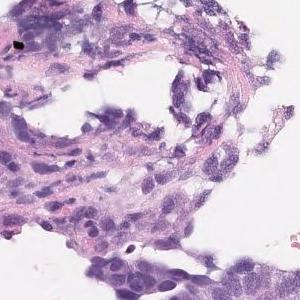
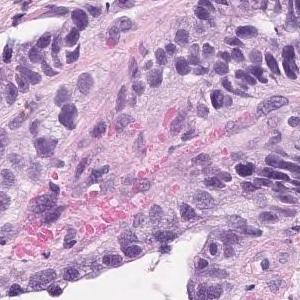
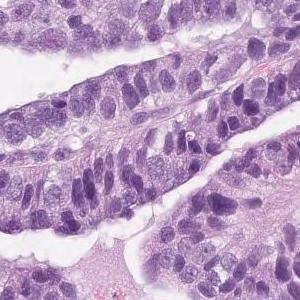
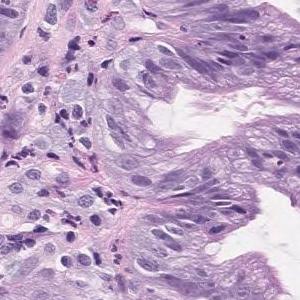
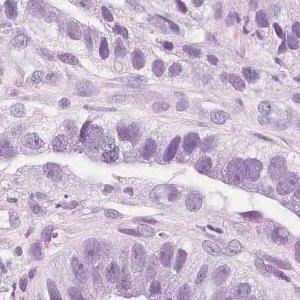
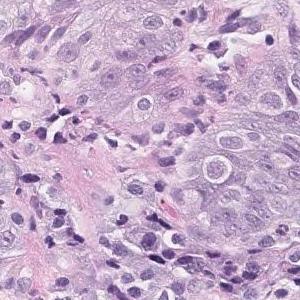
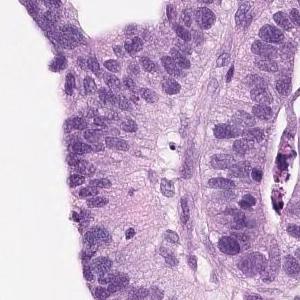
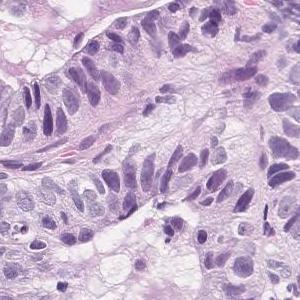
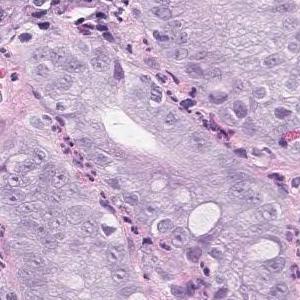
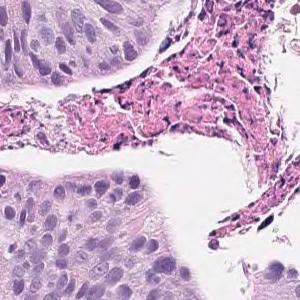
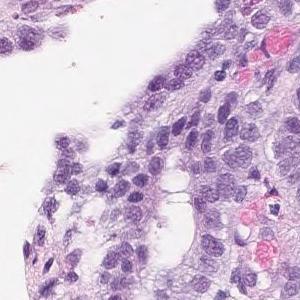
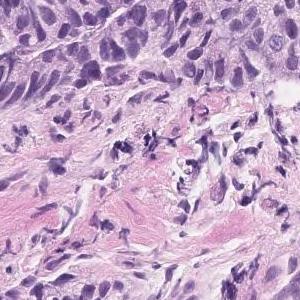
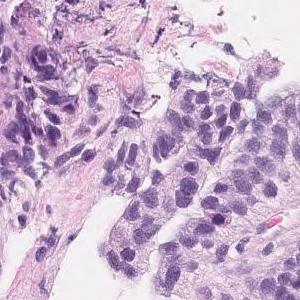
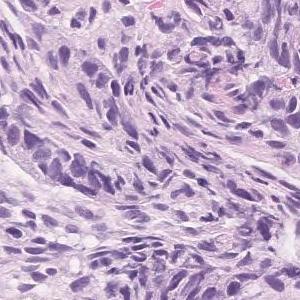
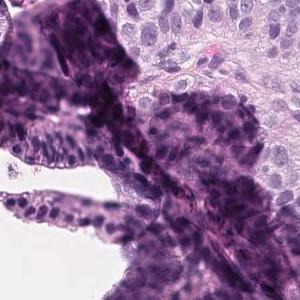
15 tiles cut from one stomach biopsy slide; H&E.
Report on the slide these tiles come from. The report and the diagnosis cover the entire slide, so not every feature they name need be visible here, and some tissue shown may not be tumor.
Tumor tissue in which highly columnar atypical epithelial cells with nuclear enlargement and increased nuclear chromatin show papillary to papillary ductal structure and proliferate is observed. Papillary adenocarcinoma.
